5 image tiles from a single gastric biopsy slide · 300×300 px each · H&E.
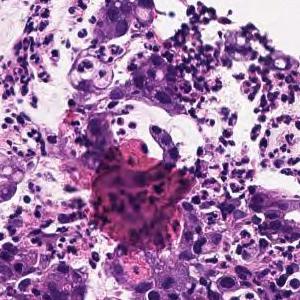
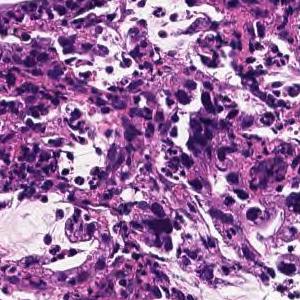
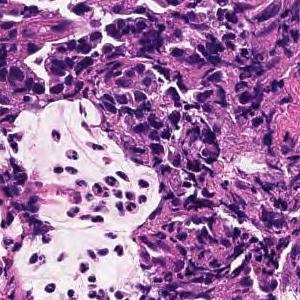
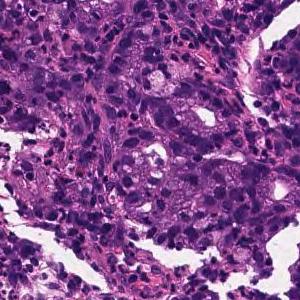
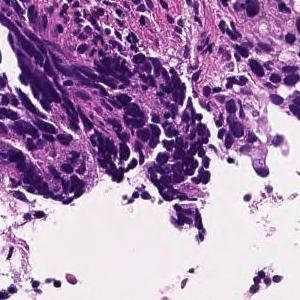
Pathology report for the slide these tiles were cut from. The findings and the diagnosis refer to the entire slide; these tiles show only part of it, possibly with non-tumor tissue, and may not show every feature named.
On the superficial epithelium, tumor tissue consisting of large, irregular glandular ducts partially fused and infiltrated is observed. Well to moderately differentiated tubular adenocarcinoma (well differentiated tubular adenocarcinoma, moderately differentiated tubular adenocarcinoma)
Subtype: Well to moderately differentiated tubular adenocarcinoma.
